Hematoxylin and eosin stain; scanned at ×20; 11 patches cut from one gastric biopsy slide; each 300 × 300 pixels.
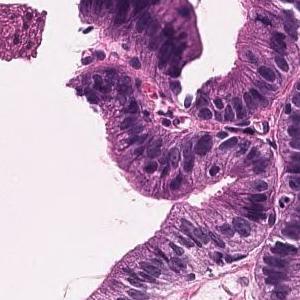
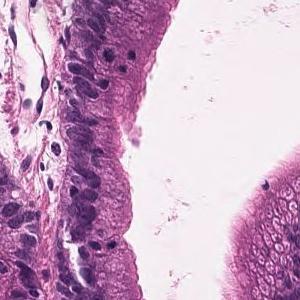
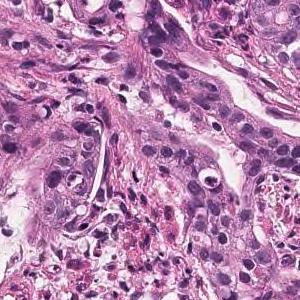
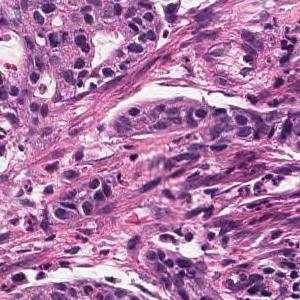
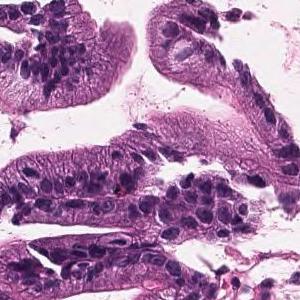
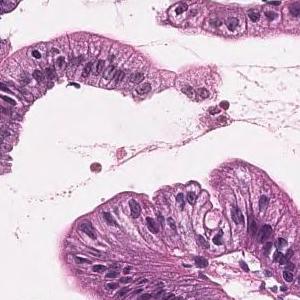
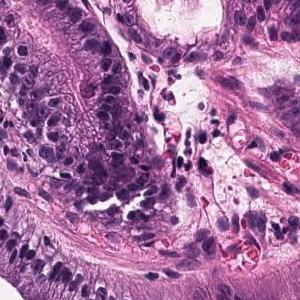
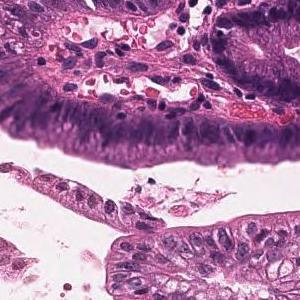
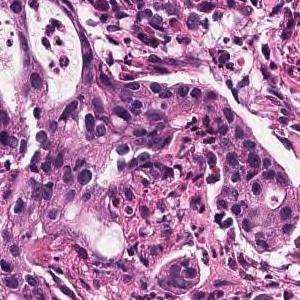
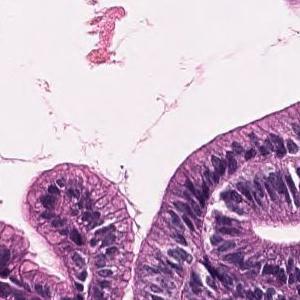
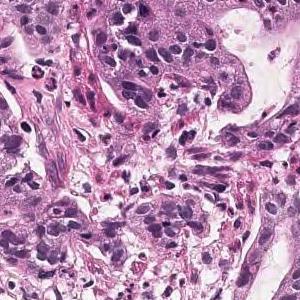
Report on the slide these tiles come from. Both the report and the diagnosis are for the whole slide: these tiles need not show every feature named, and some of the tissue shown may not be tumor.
Tumor tissue that grows invasively while the short atypical epithelium forms small ducts is observed. moderately differentiated tubular adenocarcinoma
